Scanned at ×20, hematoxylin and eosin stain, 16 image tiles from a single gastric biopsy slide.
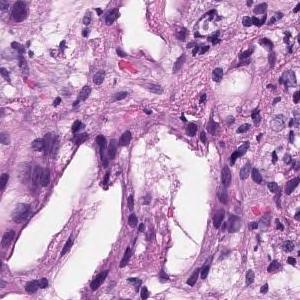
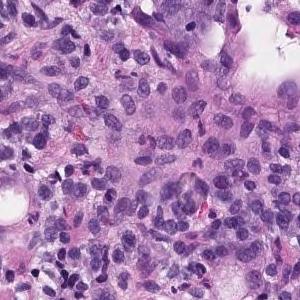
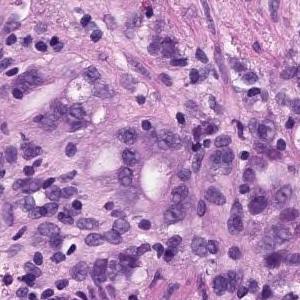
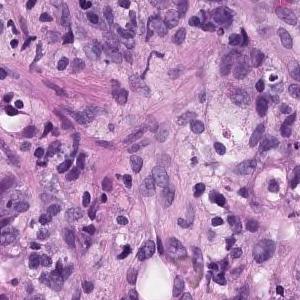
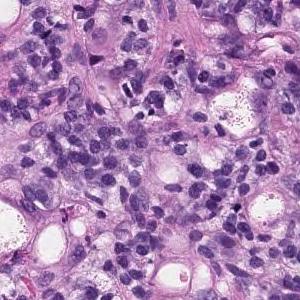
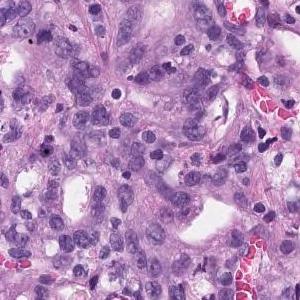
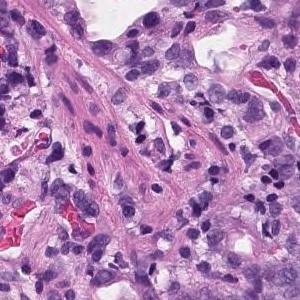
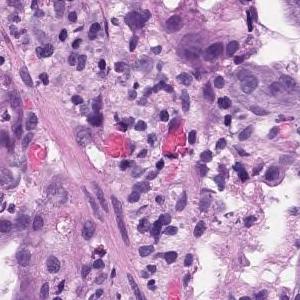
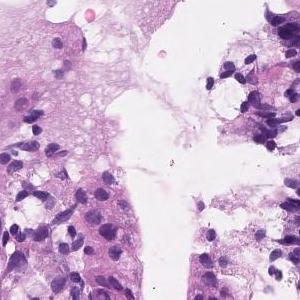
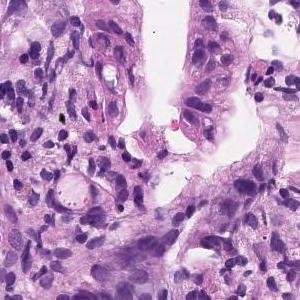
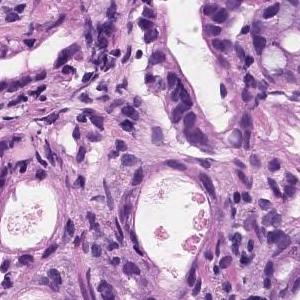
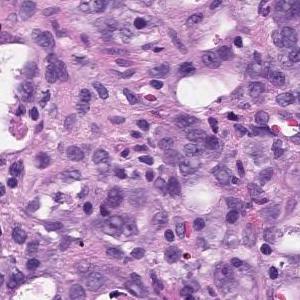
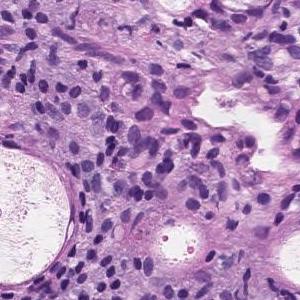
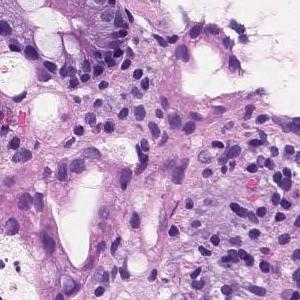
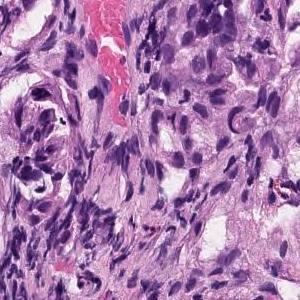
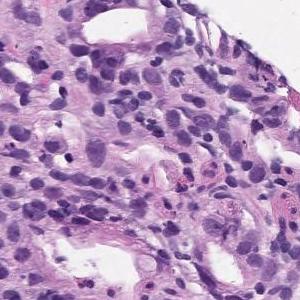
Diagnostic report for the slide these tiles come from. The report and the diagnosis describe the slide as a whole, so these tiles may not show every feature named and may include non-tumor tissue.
In the superficial epithelium, tumor tissue that invades by forming medium-sized to small, irregular ducts is observed. Moderately differentiated adenocarcinoma.
Classified as moderately differentiated tubular adenocarcinoma.
